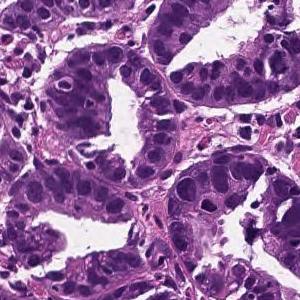
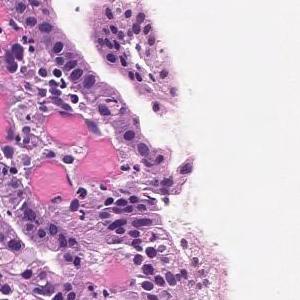
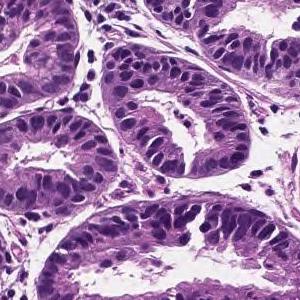
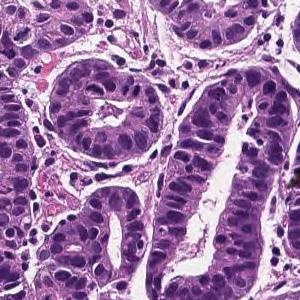
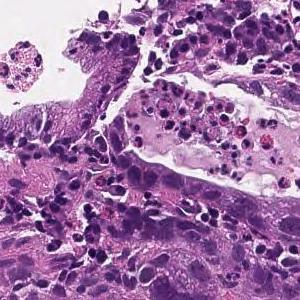
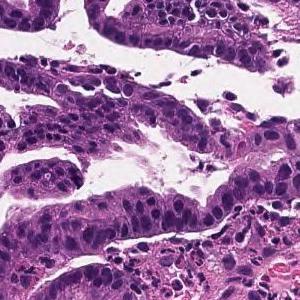
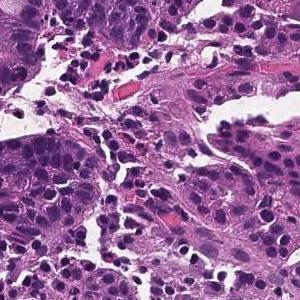
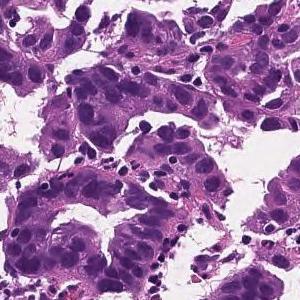
8 tiles from the same stomach biopsy slide · 300×300 px each · ×20 · H&E stain.
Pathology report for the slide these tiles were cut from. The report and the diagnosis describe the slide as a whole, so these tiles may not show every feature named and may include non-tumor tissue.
On the superficial epithelium, tumor tissue consisting of medium-sized irregular or small round gland ducts showing a small cord-like shape and infiltrating is observed. Well differentiated tubular adenocarcinoma or Poorly differentiated adenocarcinoma, non-solid type
Dataset label: well differentiated tubular adenocarcinoma.
The non-solid type named here is a Japanese Classification of Gastric Carcinoma category.
